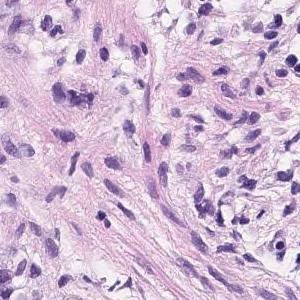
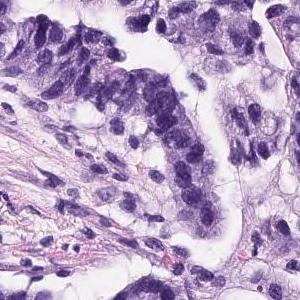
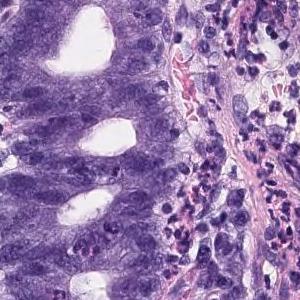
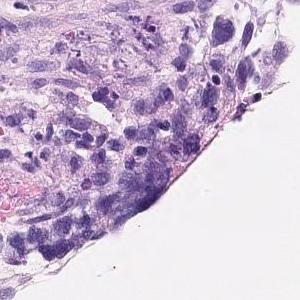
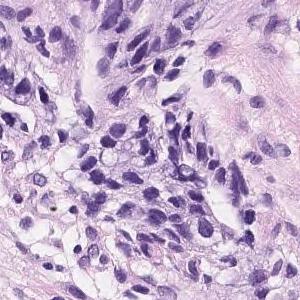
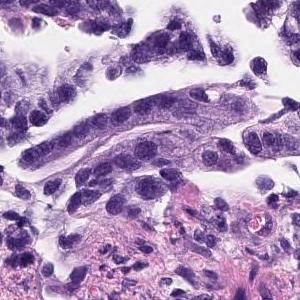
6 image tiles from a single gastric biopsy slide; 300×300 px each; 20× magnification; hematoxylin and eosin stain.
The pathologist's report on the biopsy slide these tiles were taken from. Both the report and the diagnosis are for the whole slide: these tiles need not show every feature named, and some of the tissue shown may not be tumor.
On the superficial epithelium, tumor tissue consisting of medium to small irregular tubules partially fused and proliferated is observed. moderately differentiated tubular adenocarcinoma
